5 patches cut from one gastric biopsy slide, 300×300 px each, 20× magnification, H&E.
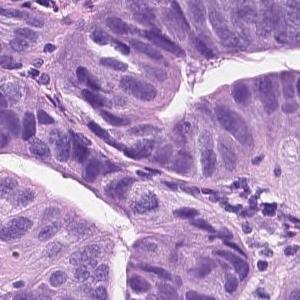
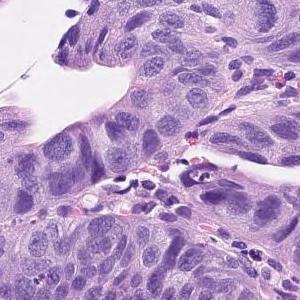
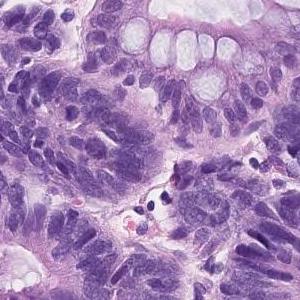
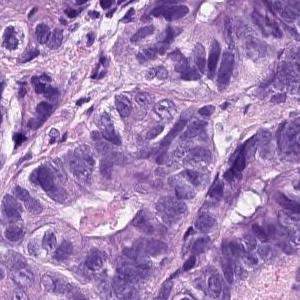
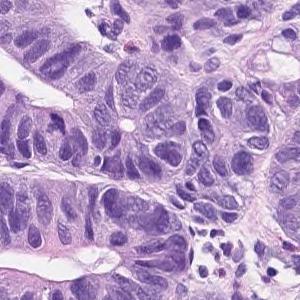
The pathologist's report on the biopsy slide these tiles were taken from. The findings and the diagnosis refer to the entire slide; these tiles show only part of it, possibly with non-tumor tissue, and may not show every feature named.
Tumor tissue consisting of medium-sized and irregular ducts is observed infiltrating in the superficial epithelium. Tumor cells are highly columnar, with nuclei aligned basolaterally and polarized. Well differentiated tubular adenocarcinoma.
